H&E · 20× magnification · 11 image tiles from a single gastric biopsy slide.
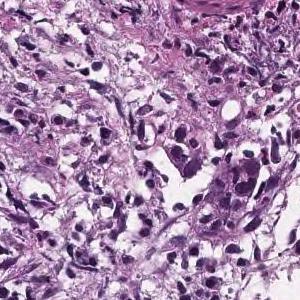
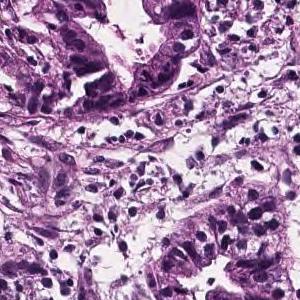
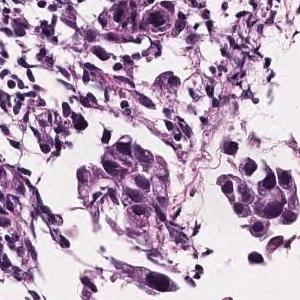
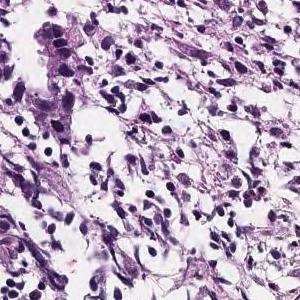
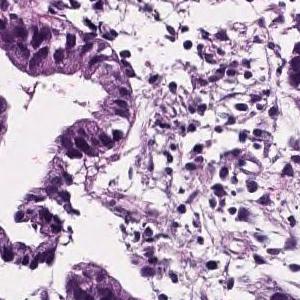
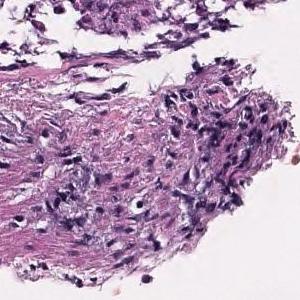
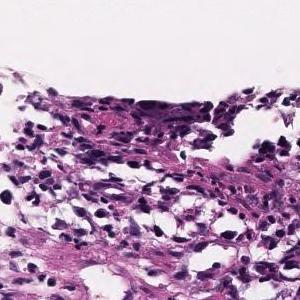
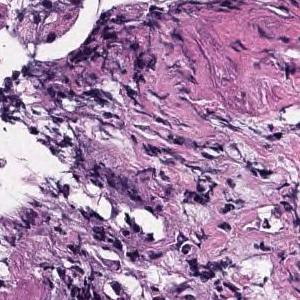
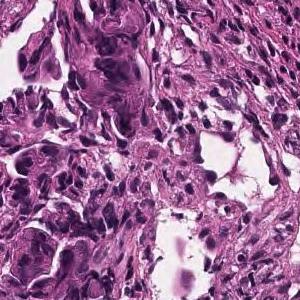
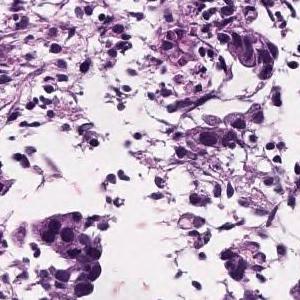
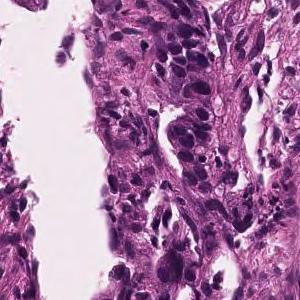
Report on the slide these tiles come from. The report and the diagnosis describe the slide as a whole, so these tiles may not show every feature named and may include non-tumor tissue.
In the superficial epithelium, tumor tissue that invades by forming medium-sized to small, irregular ducts is observed. moderately differentiated tubular adenocarcinoma.
